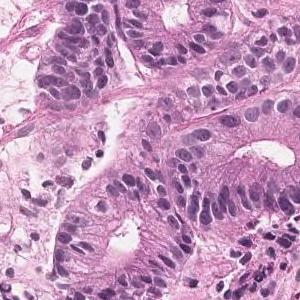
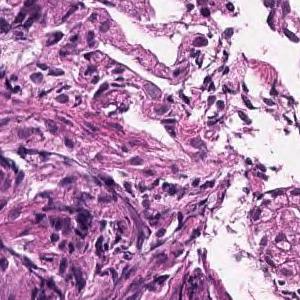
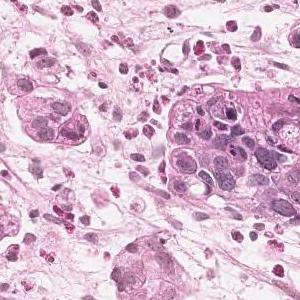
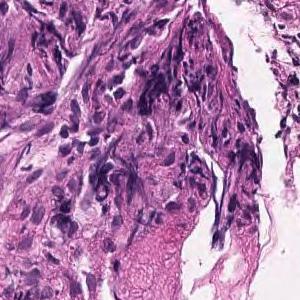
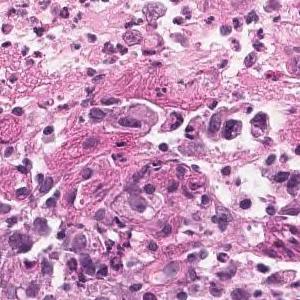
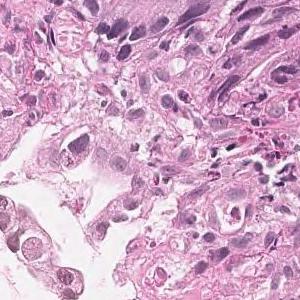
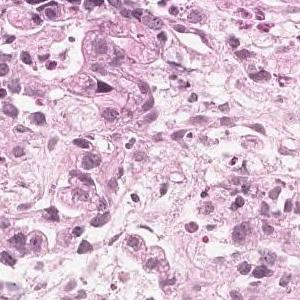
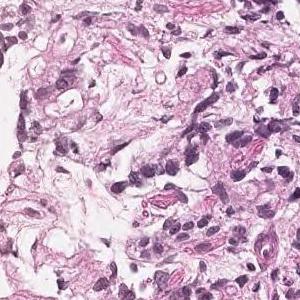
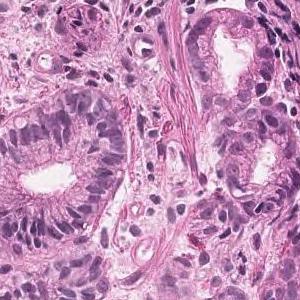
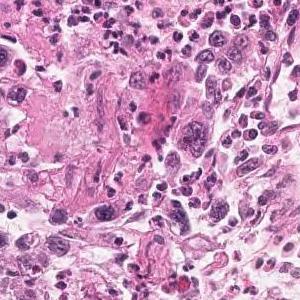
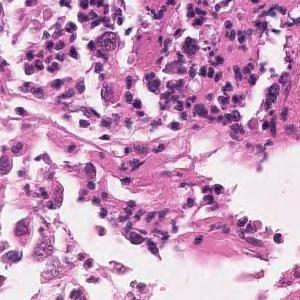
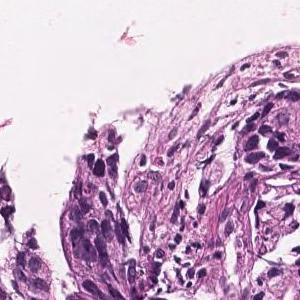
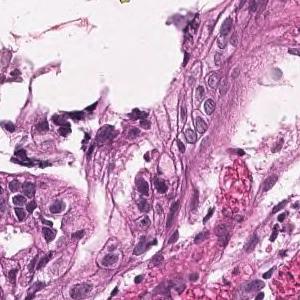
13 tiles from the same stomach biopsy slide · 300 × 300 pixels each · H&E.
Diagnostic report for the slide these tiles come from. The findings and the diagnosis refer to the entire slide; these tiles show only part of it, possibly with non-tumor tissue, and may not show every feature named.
In the superficial epithelium, medium to small irregular gland ducts are formed, and in some cases, the ducts are fused to show solid alveolar lesions and infiltrating tumor tissue is observed. Moderately to poorly differentiated adenocarcinoma
